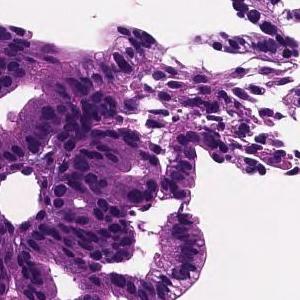
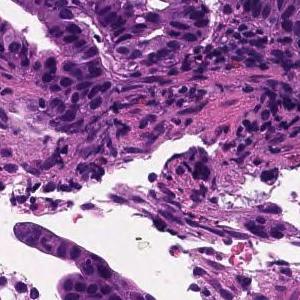
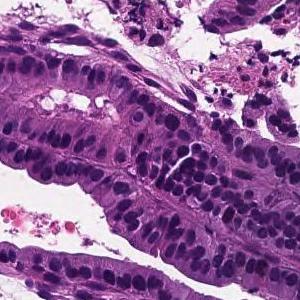
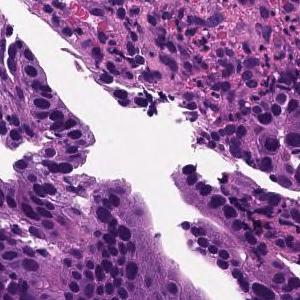
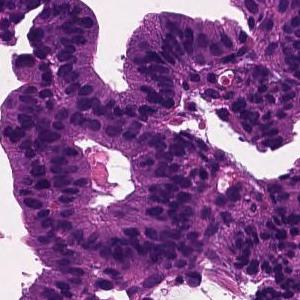
5 image tiles from a single gastric biopsy slide; H&E; 20× magnification.
Report on the slide these tiles come from. What the report and the diagnosis say applies to the whole slide; these tiles may miss some of the features named and may include tissue that is not tumor.
Tumor cells are large, highly columnar, large club-shaped nuclei, and are associated with chromatin aggregation. Papillary adenocarcinoma.
